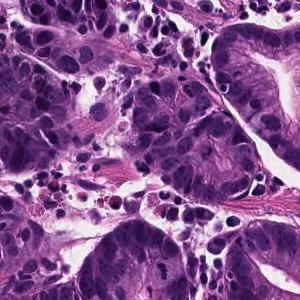
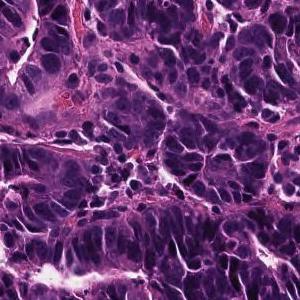
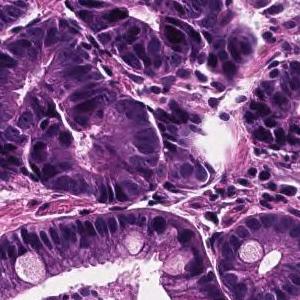
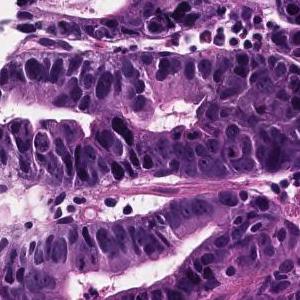
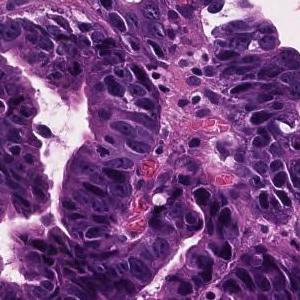
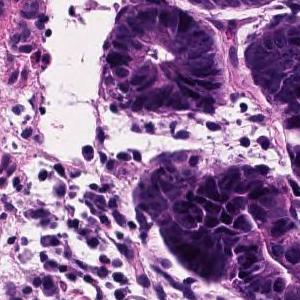
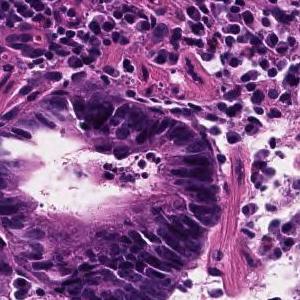
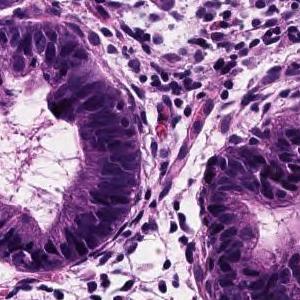
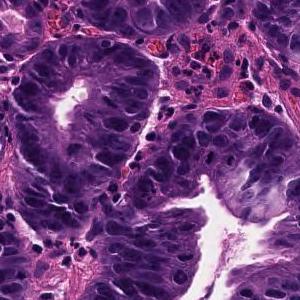
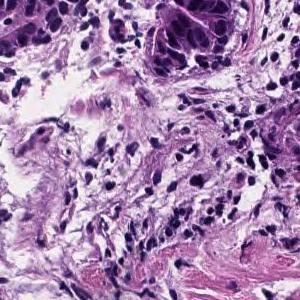
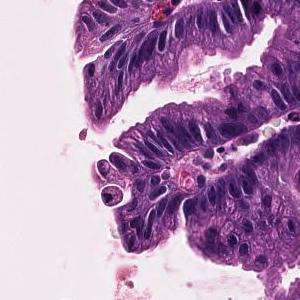
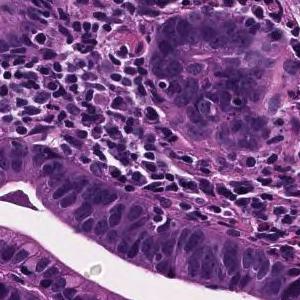
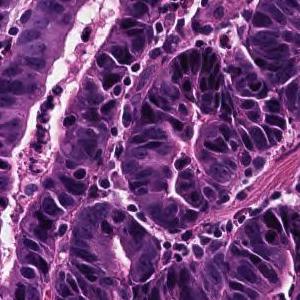
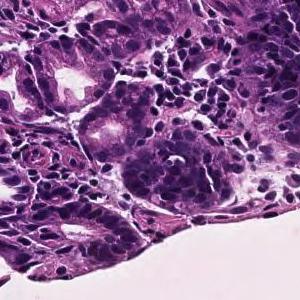
14 image tiles from a single gastric biopsy slide; each 300 × 300 pixels; 20× magnification; H&E stain.
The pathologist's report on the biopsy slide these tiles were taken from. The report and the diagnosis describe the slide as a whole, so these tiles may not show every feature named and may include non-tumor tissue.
On the superficial epithelium, tumor tissue consisting of growth of medium-sized to large-sized, round or irregular glandular ducts is observed. Well differentiated tubular adenocarcinoma
